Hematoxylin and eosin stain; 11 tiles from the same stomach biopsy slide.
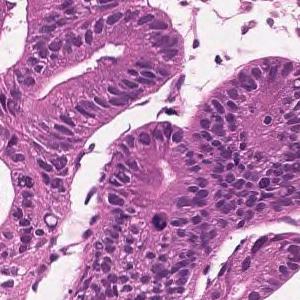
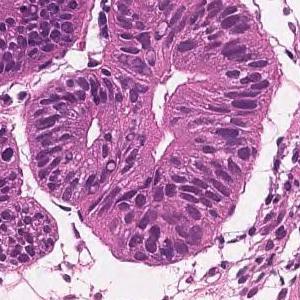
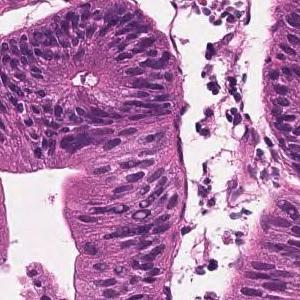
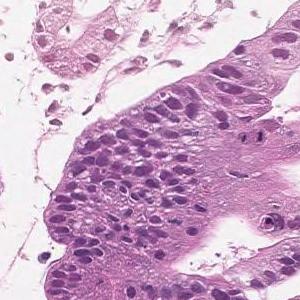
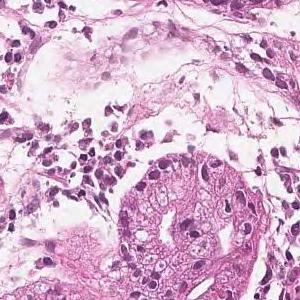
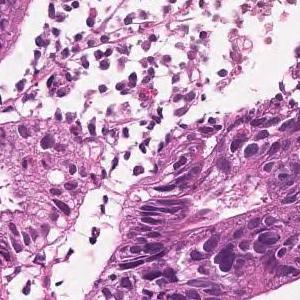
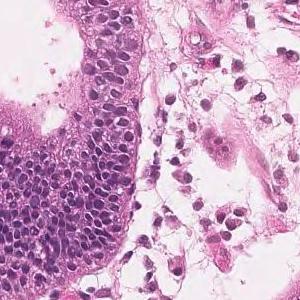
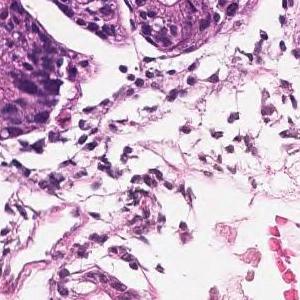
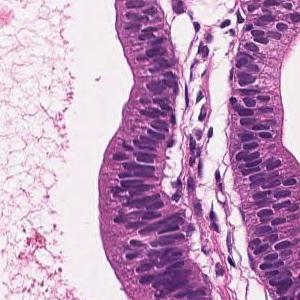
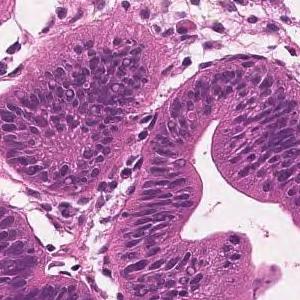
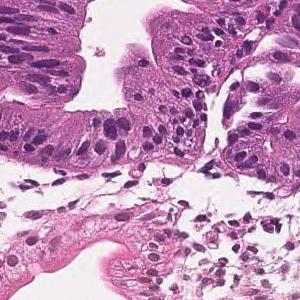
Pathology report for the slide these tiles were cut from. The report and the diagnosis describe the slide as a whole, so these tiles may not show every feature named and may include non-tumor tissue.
In the superficial epithelium, tumor tissue that invades by forming medium-sized to small, irregular ducts is observed. Well differentiated tubular adenocarcinoma.
